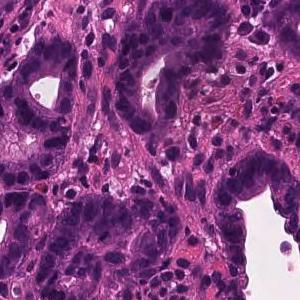
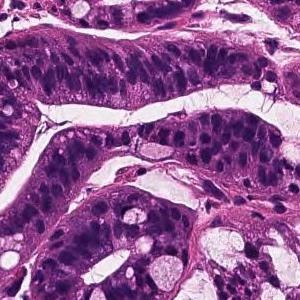
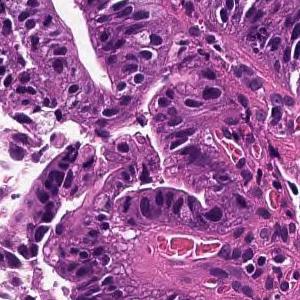
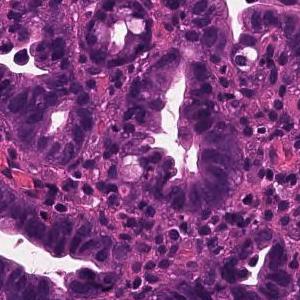
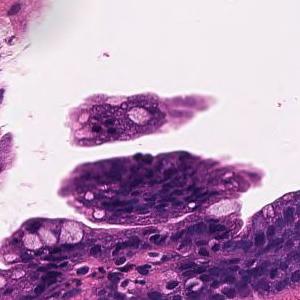
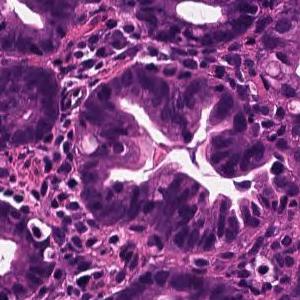
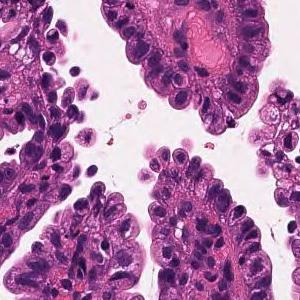
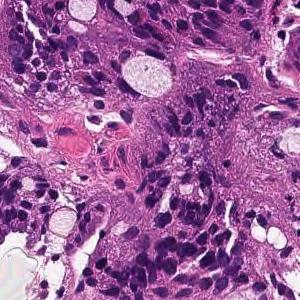
8 tiles from the same stomach biopsy slide; 300 × 300 pixels each; scanned at ×20; H&E stain.
The pathologist's report on the biopsy slide these tiles were taken from. What the report and the diagnosis say applies to the whole slide; these tiles may miss some of the features named and may include tissue that is not tumor.
On the superficial epithelium, tumor tissue that infiltrates by forming medium-sized papillary or small irregular ducts is observed. Papillary adenocarcinoma
